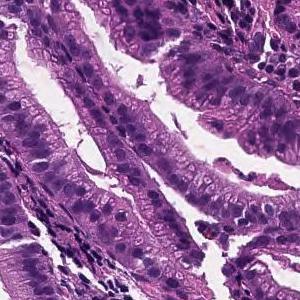
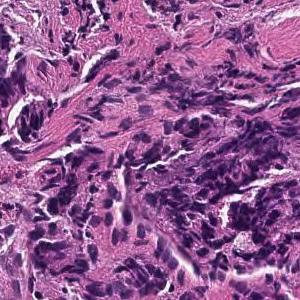
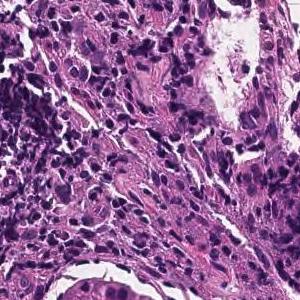
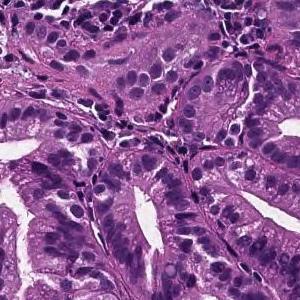
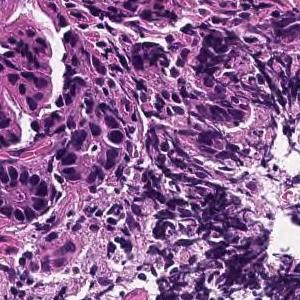
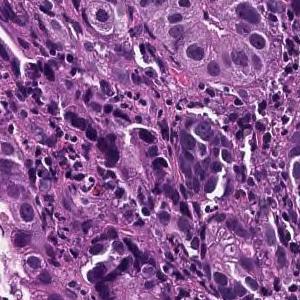
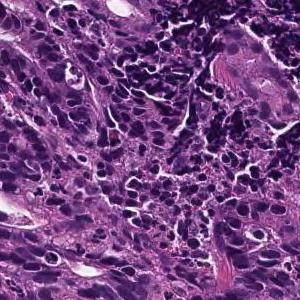
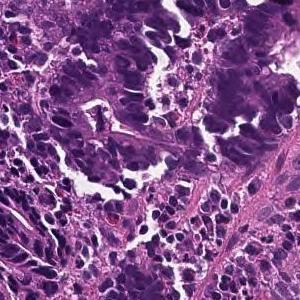
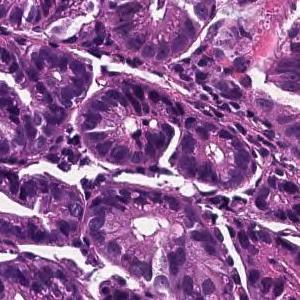
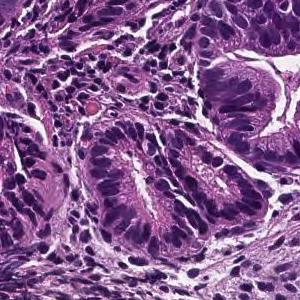
Hematoxylin and eosin stain, 20× magnification, 10 patches cut from one gastric biopsy slide, each 300 × 300 pixels.
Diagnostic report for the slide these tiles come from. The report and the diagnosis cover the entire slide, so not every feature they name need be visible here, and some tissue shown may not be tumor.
On the superficial epithelium, tumor tissue consisting of large irregular glandular ducts partially fused and infiltrated is observed. Well to moderately differentiated tubular adenocarcinoma (well differentiated tubular adenocarcinoma, moderately differentiated tubular adenocarcinoma)
Classified as well to moderately differentiated tubular adenocarcinoma.
